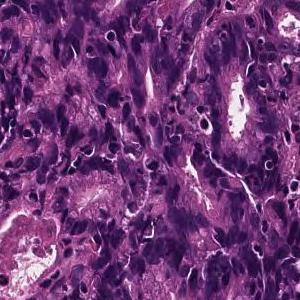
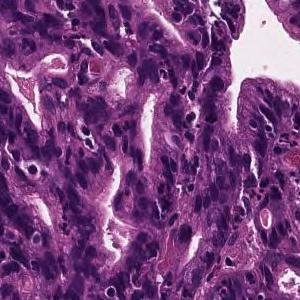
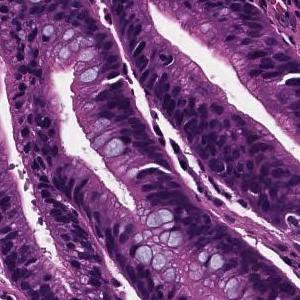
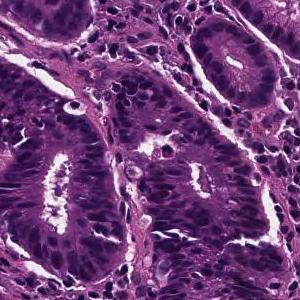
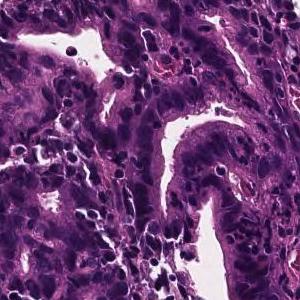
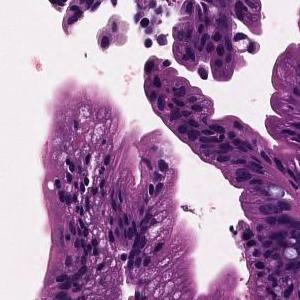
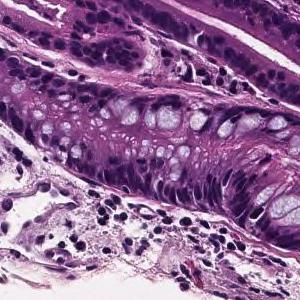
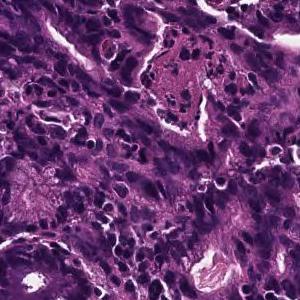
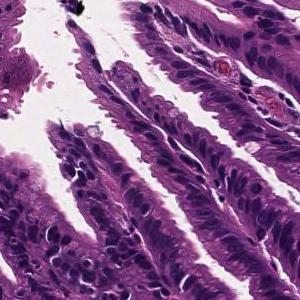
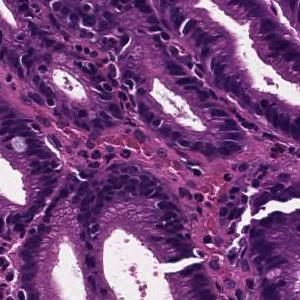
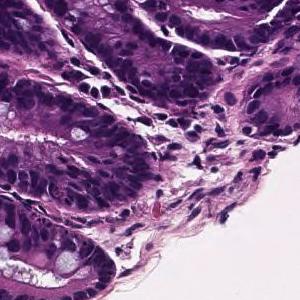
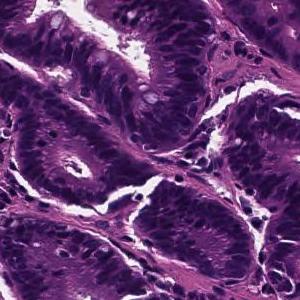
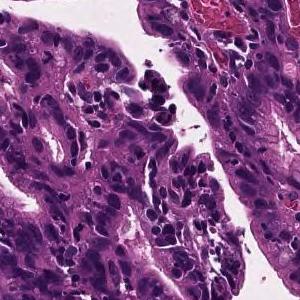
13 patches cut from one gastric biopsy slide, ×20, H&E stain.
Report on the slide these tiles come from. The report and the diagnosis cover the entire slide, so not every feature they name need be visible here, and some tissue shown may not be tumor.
On the superficial epithelium, tumor tissue consisting of medium-sized irregular glandular ducts partially fused and infiltrated is observed. Well to moderately differentiated tubular adenocarcinoma (well differentiated tubular adenocarcinoma-moderately differentiated tubular adenocarcinoma)
Subtype: Well to moderately differentiated tubular adenocarcinoma.
